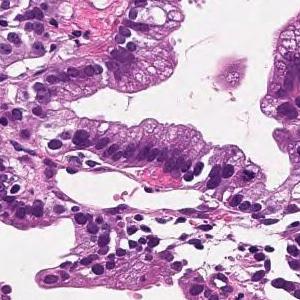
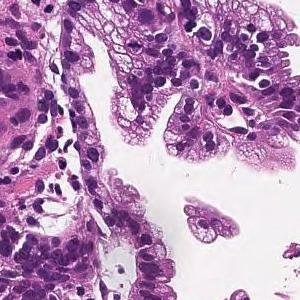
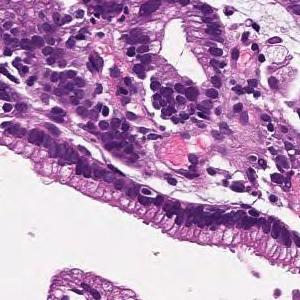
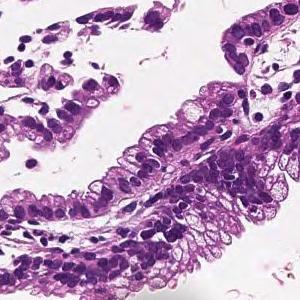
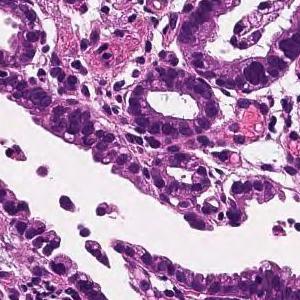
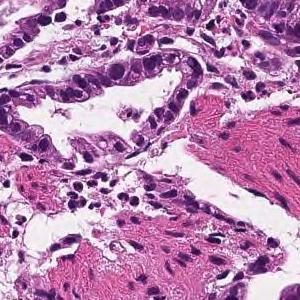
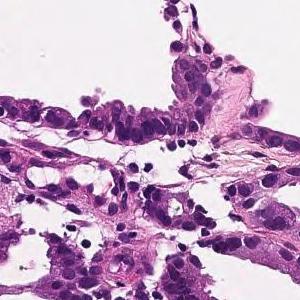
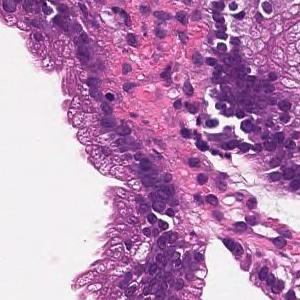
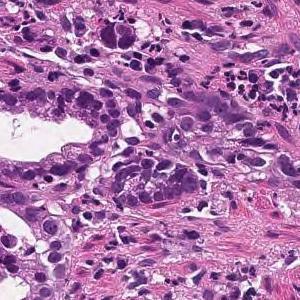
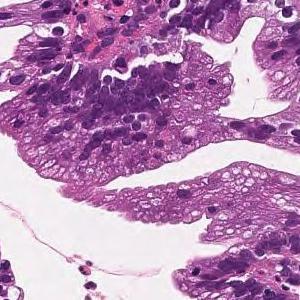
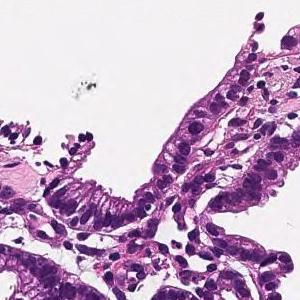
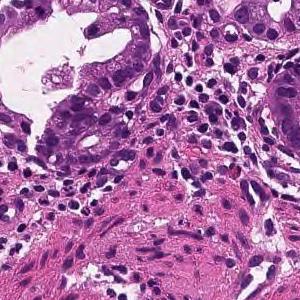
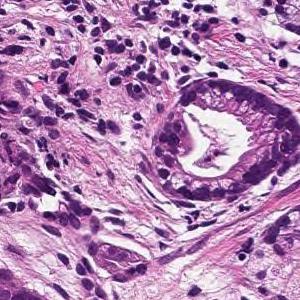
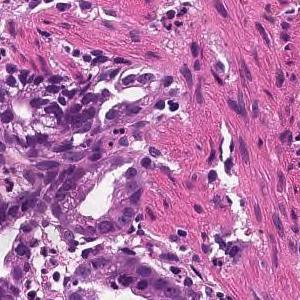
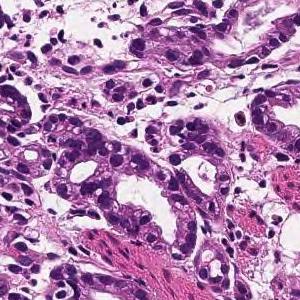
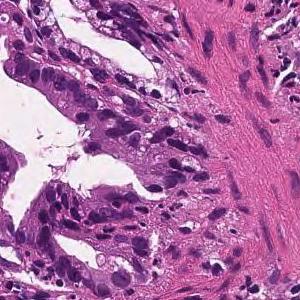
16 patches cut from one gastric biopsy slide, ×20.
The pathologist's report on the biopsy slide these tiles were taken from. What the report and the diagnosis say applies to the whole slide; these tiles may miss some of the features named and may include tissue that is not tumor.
On the superficial epithelium, tumor tissue that infiltrates by forming medium-sized papillary or small irregular ducts is observed. Papillary adenocarcinoma
